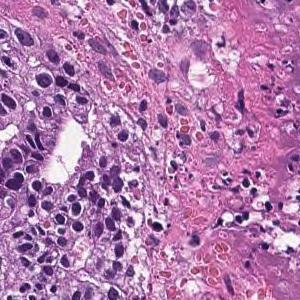
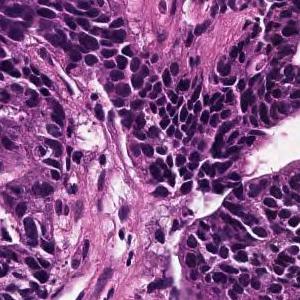
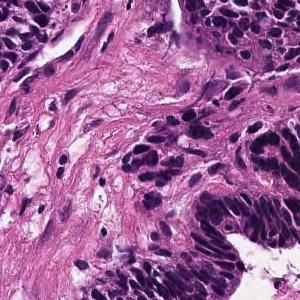
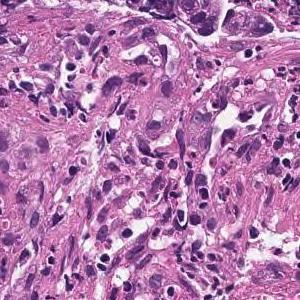
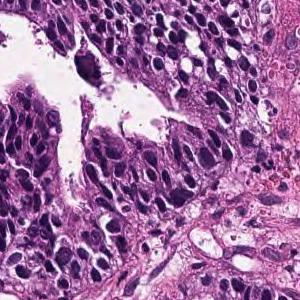
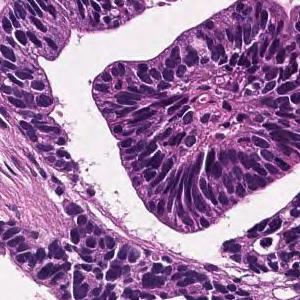
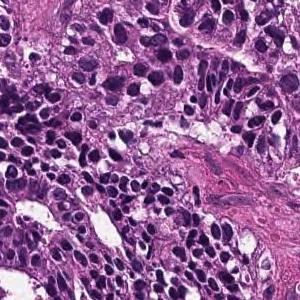
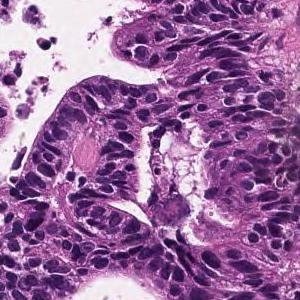
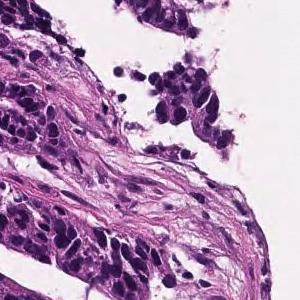
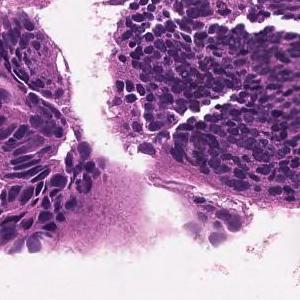
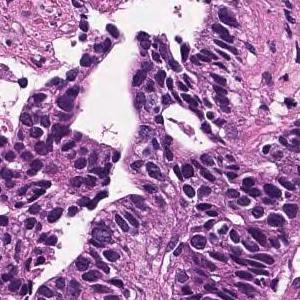
Scanned at ×20, 11 image tiles from a single gastric biopsy slide, each 300 × 300 pixels.
Pathology report for the biopsy slide these tiles were cut from. The report describes the whole slide, diagnosis included: not every finding it names need appear in these tiles, which may also show non-tumor tissue.
In the superficial epithelium, tumor tissue that invades by forming medium-sized to small, irregular ducts is observed. Well differentiated tubular adenocarcinoma.
